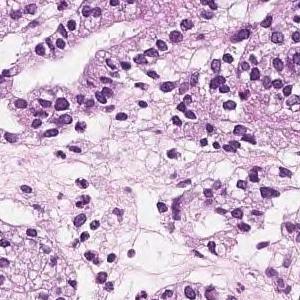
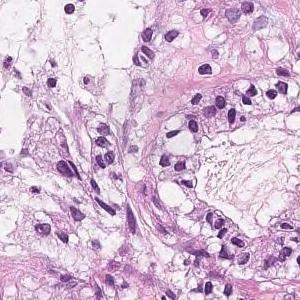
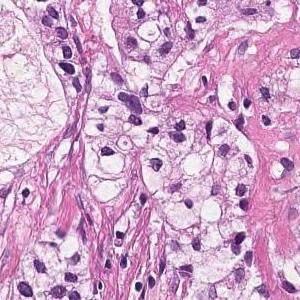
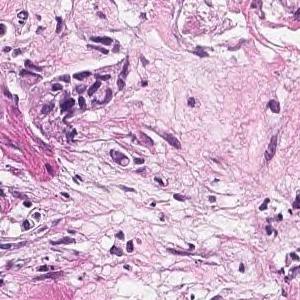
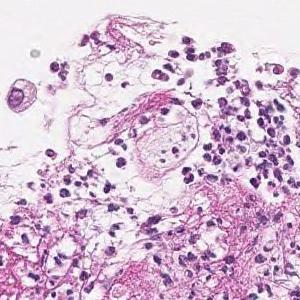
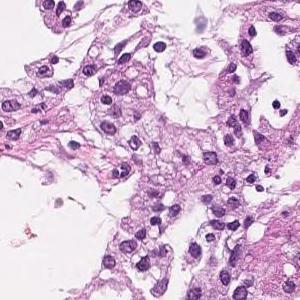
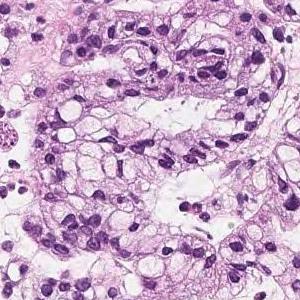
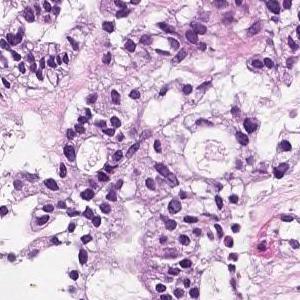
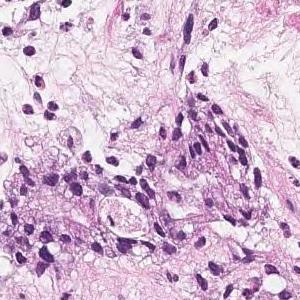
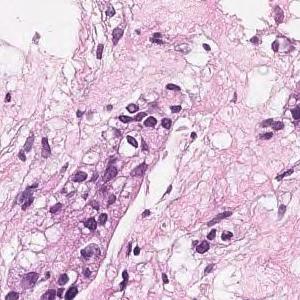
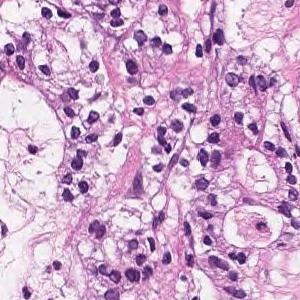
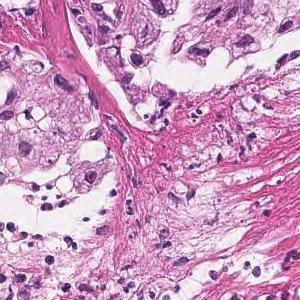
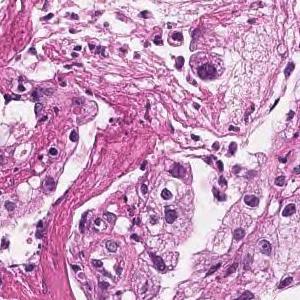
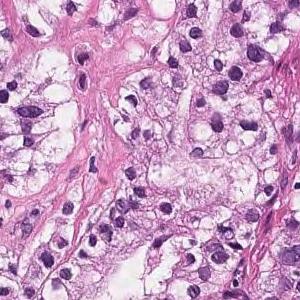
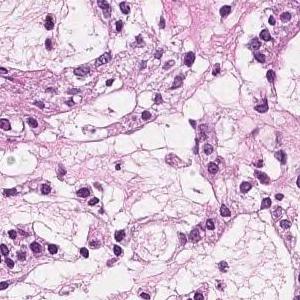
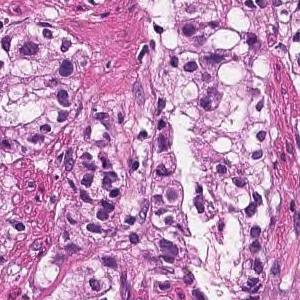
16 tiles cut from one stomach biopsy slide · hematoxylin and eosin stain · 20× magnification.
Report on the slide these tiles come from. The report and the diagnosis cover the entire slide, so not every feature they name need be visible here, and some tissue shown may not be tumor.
In the superficial epithelium, tumor tissue that invades by forming medium-sized to small, irregular ducts is observed. moderately differentiated tubular adenocarcinoma.
